H&E; scanned at ×20; 14 patches cut from one gastric biopsy slide; each 300 × 300 pixels.
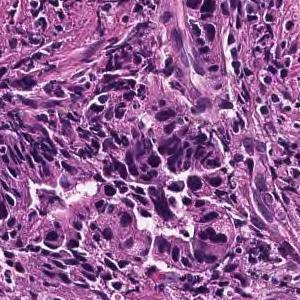
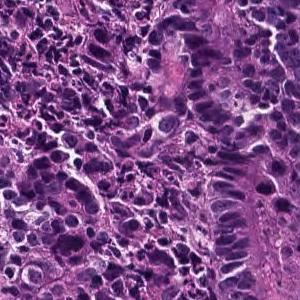
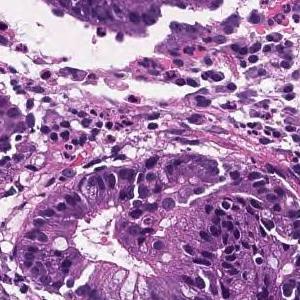
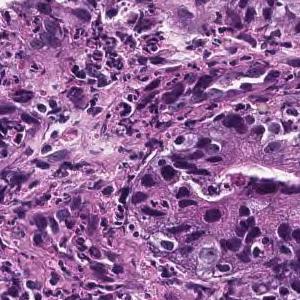
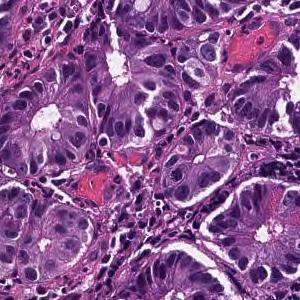
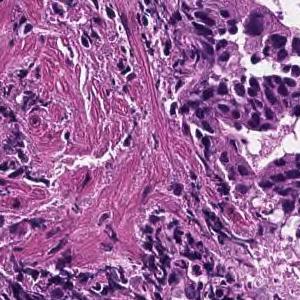
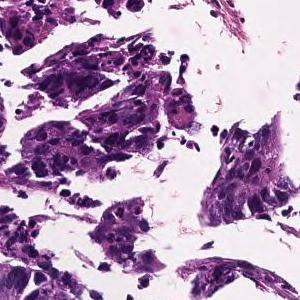
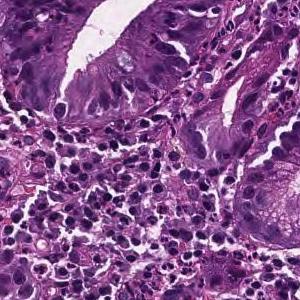
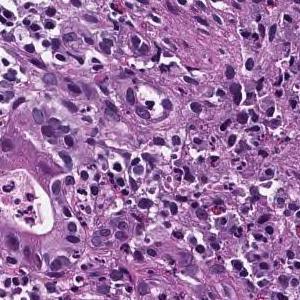
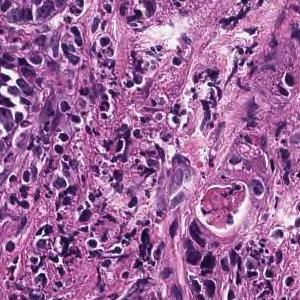
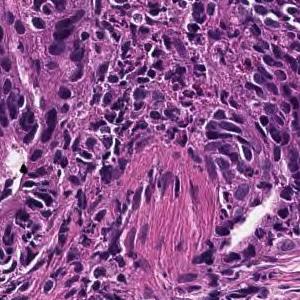
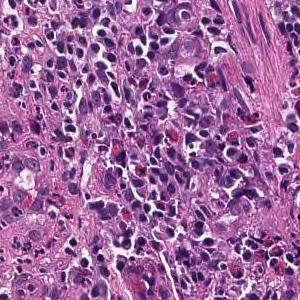
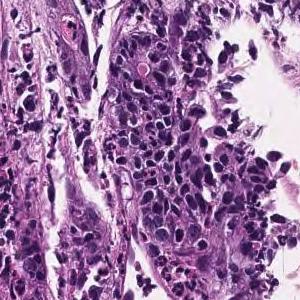
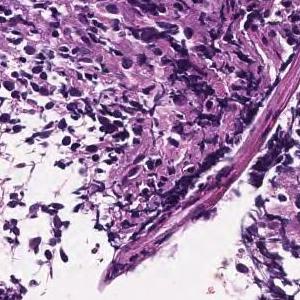
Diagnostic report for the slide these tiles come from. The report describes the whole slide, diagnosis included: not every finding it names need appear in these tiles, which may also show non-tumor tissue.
On the superficial epithelium, tumor tissue consisting of large, irregular glandular ducts partially fused and infiltrated is observed. Well to moderately differentiated tubular adenocarcinoma (well differentiated tubular adenocarcinoma, moderately differentiated tubular adenocarcinoma)
Tumor subtype: well to moderately differentiated tubular adenocarcinoma.
